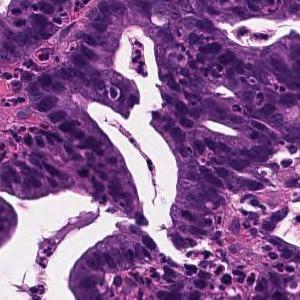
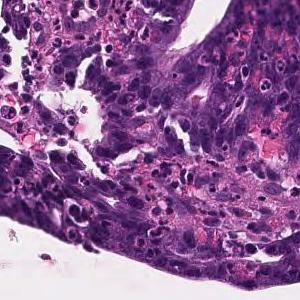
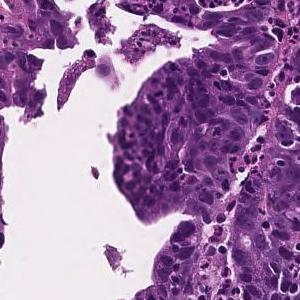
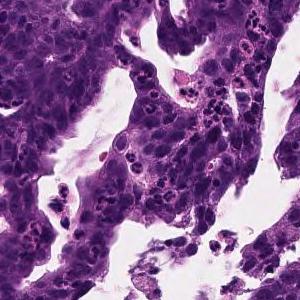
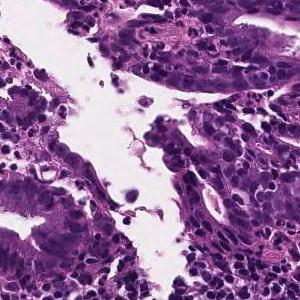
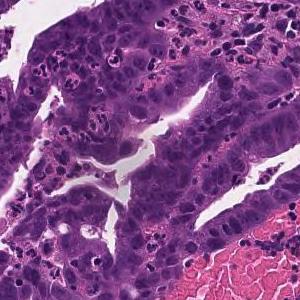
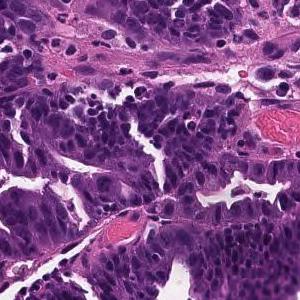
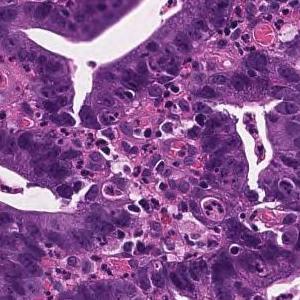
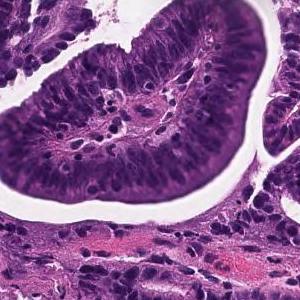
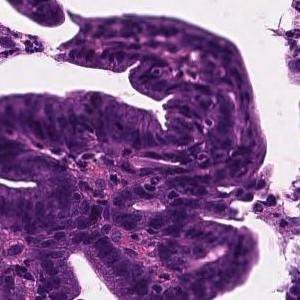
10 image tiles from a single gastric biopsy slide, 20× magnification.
Diagnostic report for the slide these tiles come from. The report and the diagnosis describe the slide as a whole, so these tiles may not show every feature named and may include non-tumor tissue.
Tumor cells are large, highly columnar, large club-shaped nuclei, and are associated with chromatin aggregation. Papillary adenocarcinoma.
